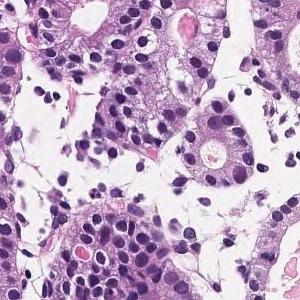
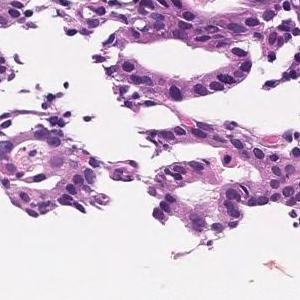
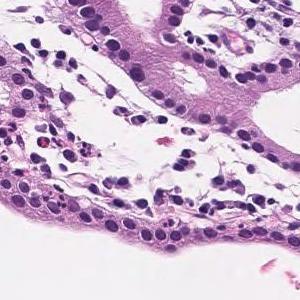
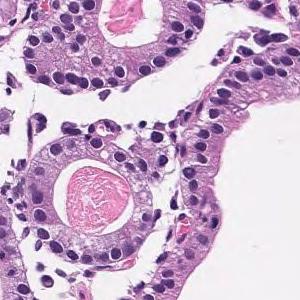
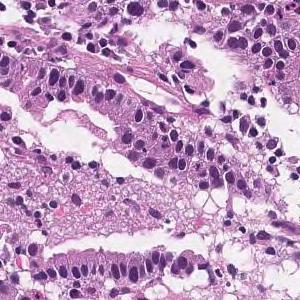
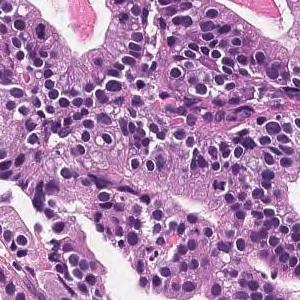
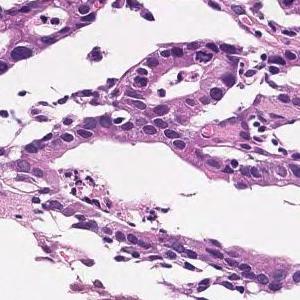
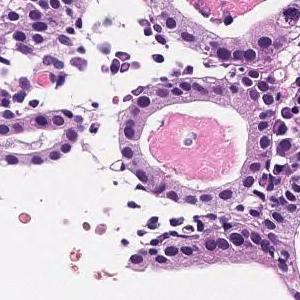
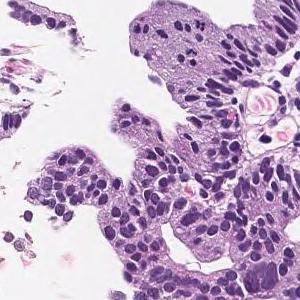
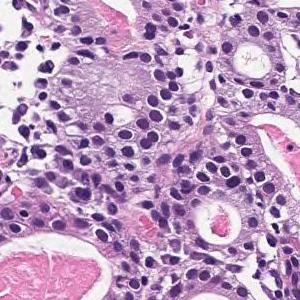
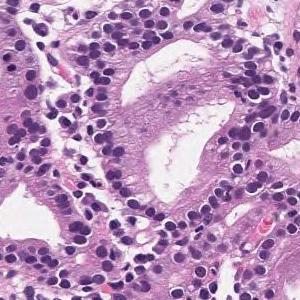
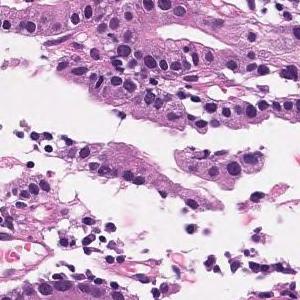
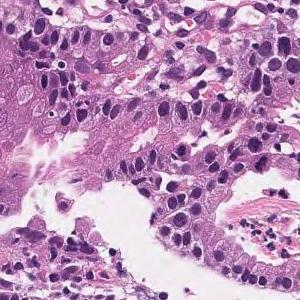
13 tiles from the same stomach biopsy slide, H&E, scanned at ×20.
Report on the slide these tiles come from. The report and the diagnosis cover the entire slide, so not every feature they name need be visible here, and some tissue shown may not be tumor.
Medium to small, irregular glandular ducts are formed in the superficial epithelium, and in some cases, the glandular ducts are fused to show solid alveolar lesions and infiltrating tumor tissue is observed. Moderately to poorly differentiated adenocarcinoma.
